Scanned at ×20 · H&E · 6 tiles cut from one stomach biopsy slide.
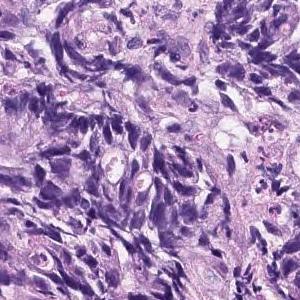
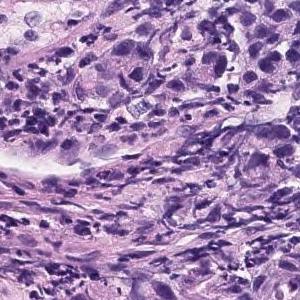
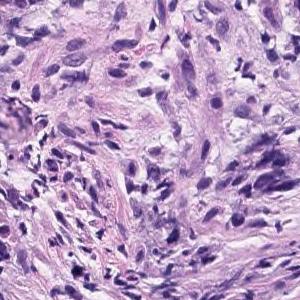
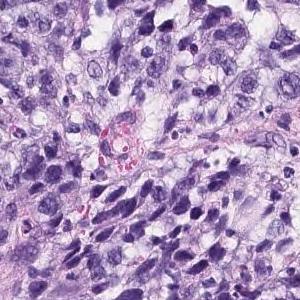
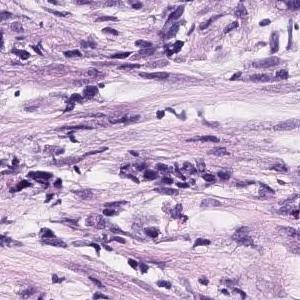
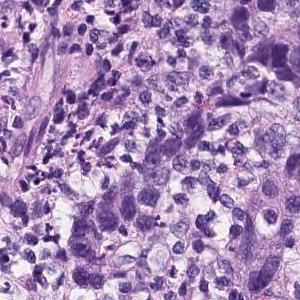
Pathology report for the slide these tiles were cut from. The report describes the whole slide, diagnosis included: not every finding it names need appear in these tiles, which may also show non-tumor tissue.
The superficial epithelium shows a large sheet-like shape, and some tumor tissue infiltrates with small irregular ducts. Poorly differentiated adenocarcinoma, solid-type
Tumor subtype: poorly differentiated adenocarcinoma, solid type, a category of the Japanese Classification of Gastric Carcinoma; in the WHO 2019 classification it is tubular adenocarcinoma, poorly differentiated.
